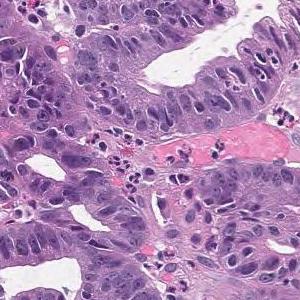
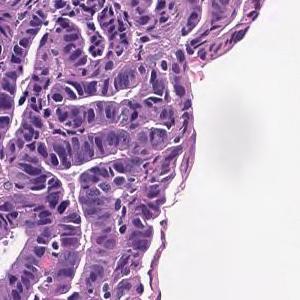
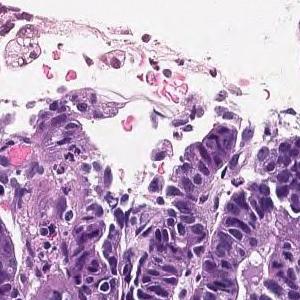
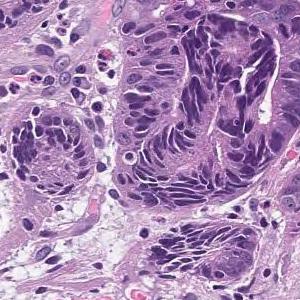
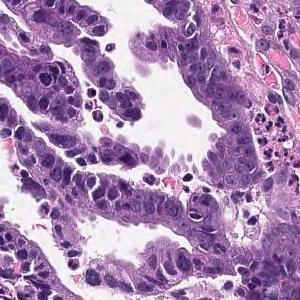
5 patches cut from one gastric biopsy slide; 300×300 px each; ×20.
Report on the slide these tiles come from. What the report and the diagnosis say applies to the whole slide; these tiles may miss some of the features named and may include tissue that is not tumor.
Tumor cells are large, highly columnar, large club-shaped nuclei, and are associated with chromatin aggregation. Papillary adenocarcinoma.
